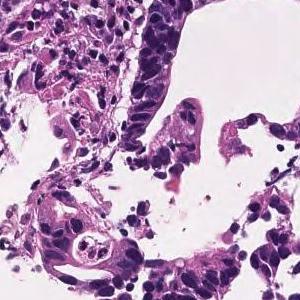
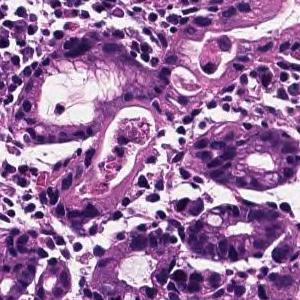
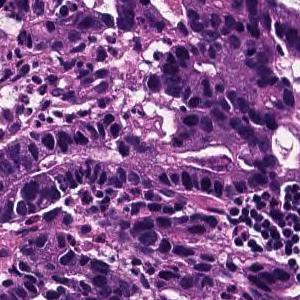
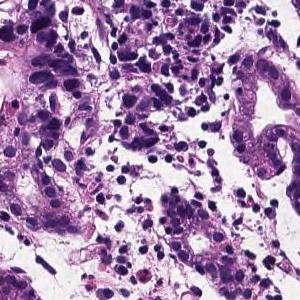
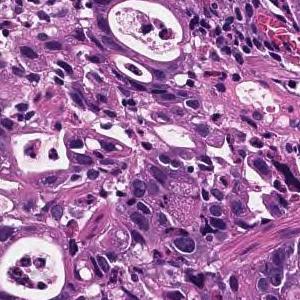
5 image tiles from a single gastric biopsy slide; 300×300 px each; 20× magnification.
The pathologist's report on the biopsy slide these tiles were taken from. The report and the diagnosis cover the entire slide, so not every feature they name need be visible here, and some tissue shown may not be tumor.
In the superficial epithelium, tumor tissue that invades by forming medium-sized to small, irregular ducts is observed. moderately differentiated tubular adenocarcinoma.
